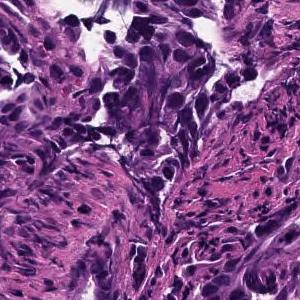
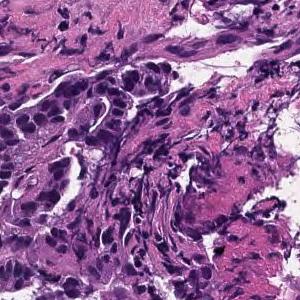
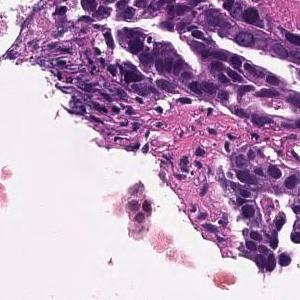
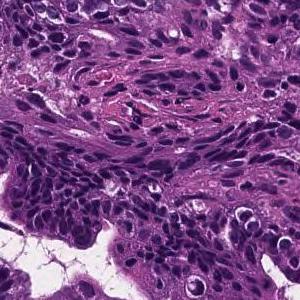
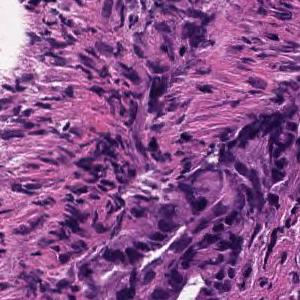
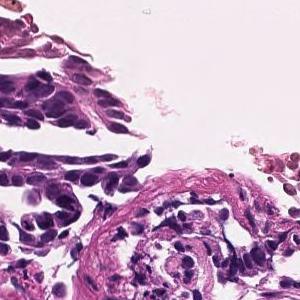
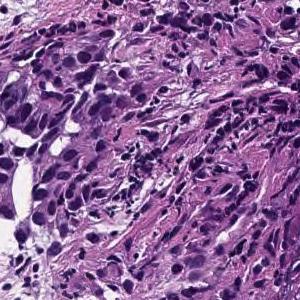
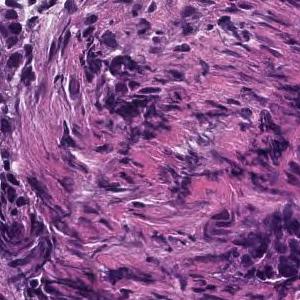
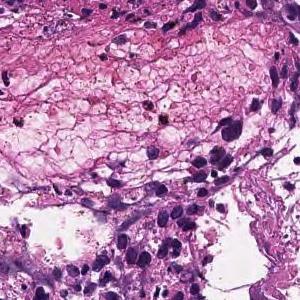
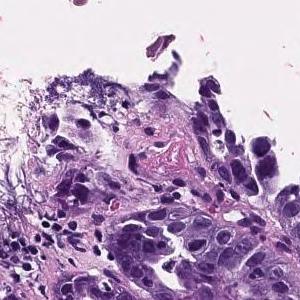
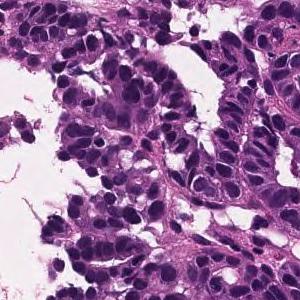
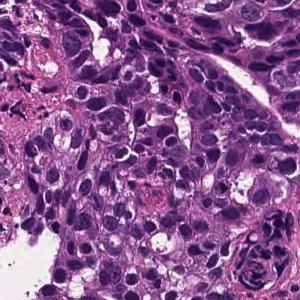
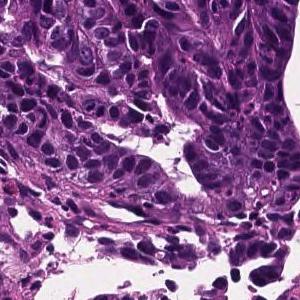
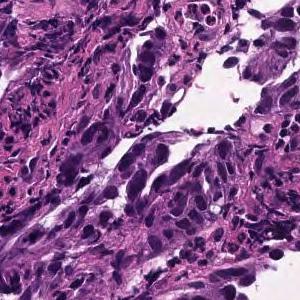
14 image tiles from a single gastric biopsy slide · each 300 × 300 pixels · hematoxylin and eosin stain.
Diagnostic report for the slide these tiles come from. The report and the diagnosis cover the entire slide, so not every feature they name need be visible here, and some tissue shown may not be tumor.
Tumor cells are large, highly columnar, large club-shaped nuclei, and are associated with chromatin aggregation. Papillary adenocarcinoma.
